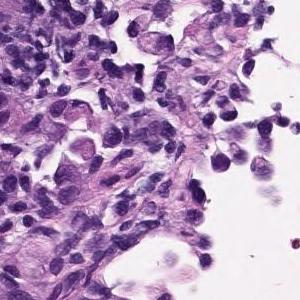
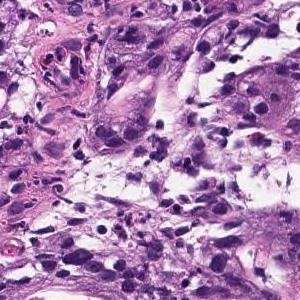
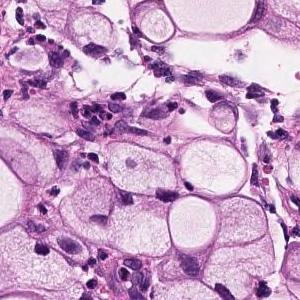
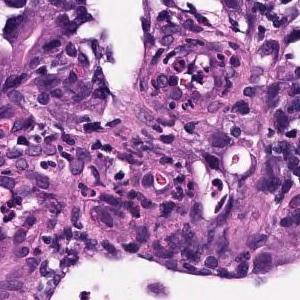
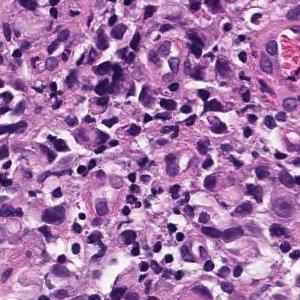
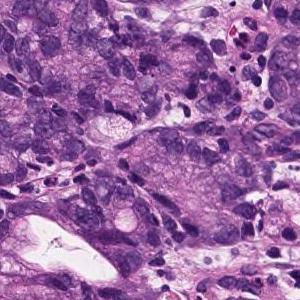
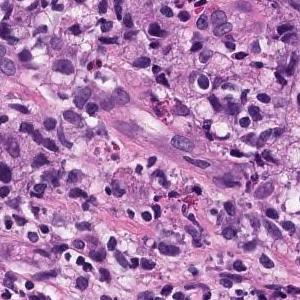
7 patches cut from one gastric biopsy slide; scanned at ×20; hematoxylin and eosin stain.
Report on the slide these tiles come from. The findings and the diagnosis refer to the entire slide; these tiles show only part of it, possibly with non-tumor tissue, and may not show every feature named.
Atypical epithelium forms irregularly fused gland ducts and proliferates. Poorly differentiated adenocarcinoma.
Histologic type: Poorly differentiated adenocarcinoma, non-solid type.
The non-solid type named here is a Japanese Classification of Gastric Carcinoma category.
